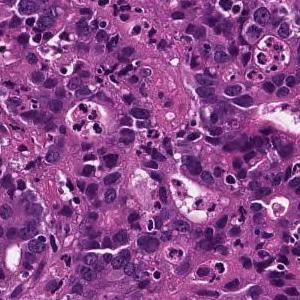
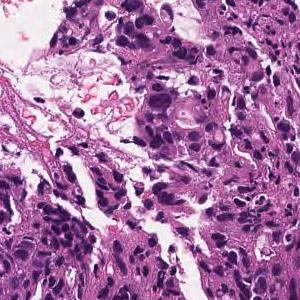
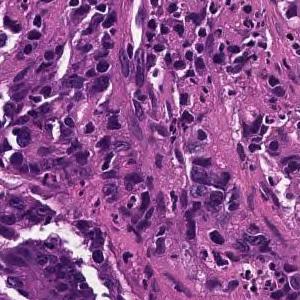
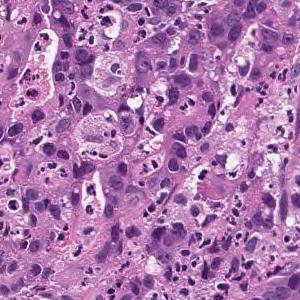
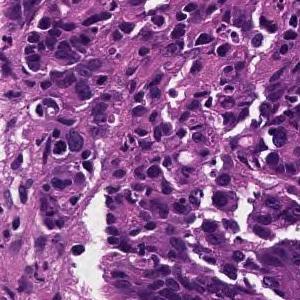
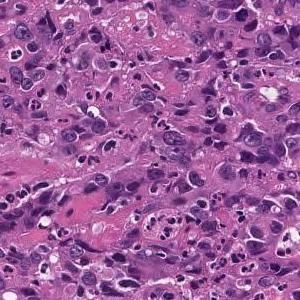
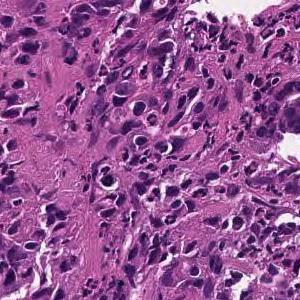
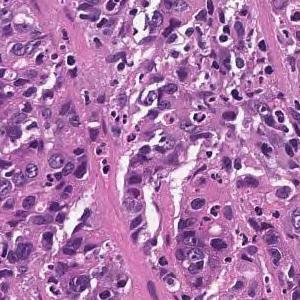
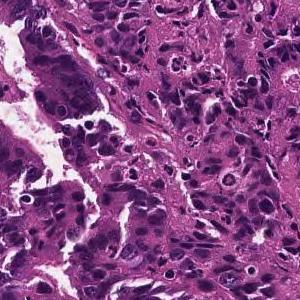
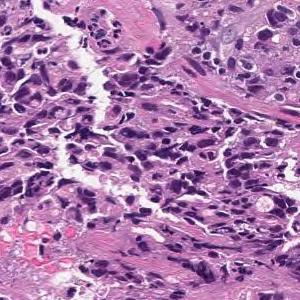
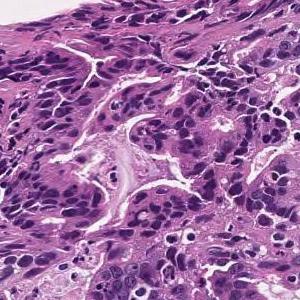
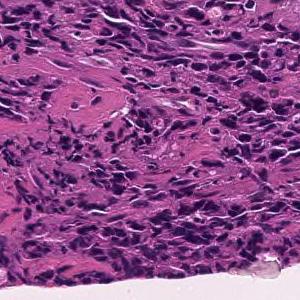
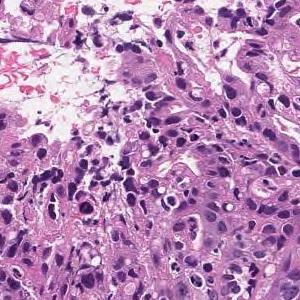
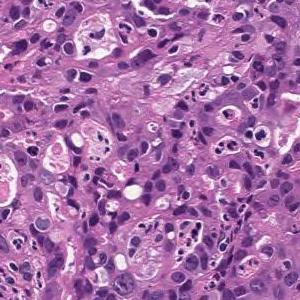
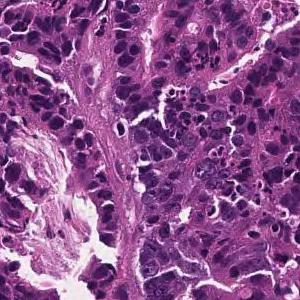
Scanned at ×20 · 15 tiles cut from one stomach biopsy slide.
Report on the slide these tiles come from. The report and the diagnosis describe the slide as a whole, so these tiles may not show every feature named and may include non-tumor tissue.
In the superficial epithelium, tumor tissue that invades by forming medium-sized to small, irregular ducts is observed. moderately differentiated tubular adenocarcinoma.
